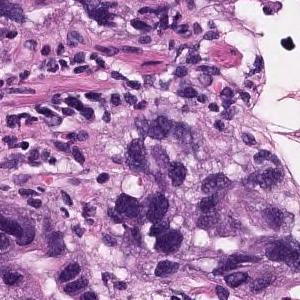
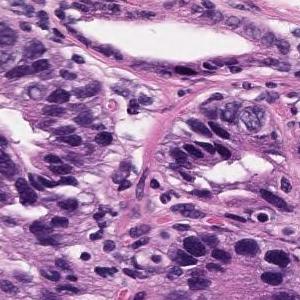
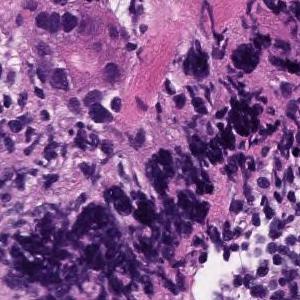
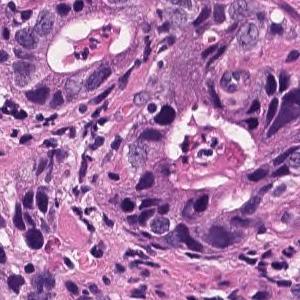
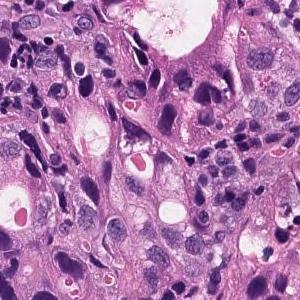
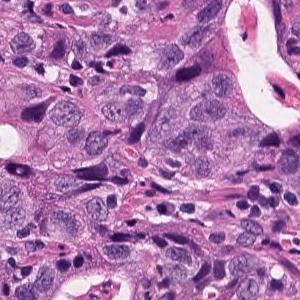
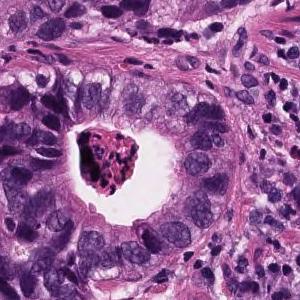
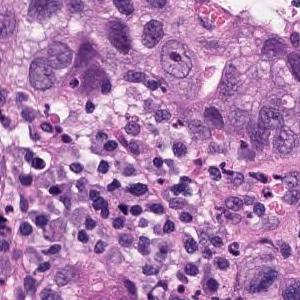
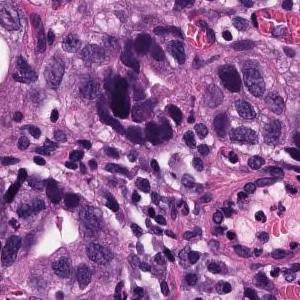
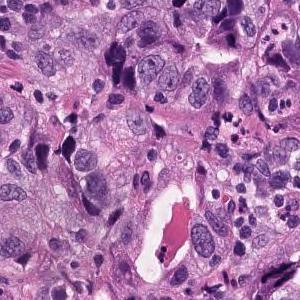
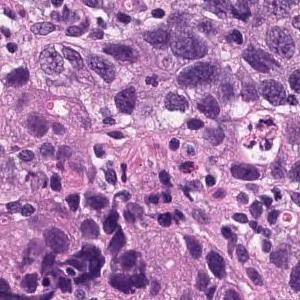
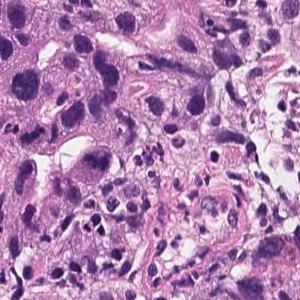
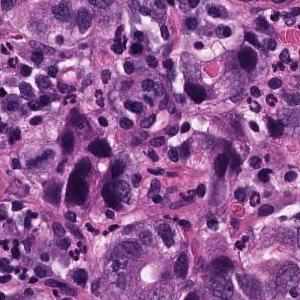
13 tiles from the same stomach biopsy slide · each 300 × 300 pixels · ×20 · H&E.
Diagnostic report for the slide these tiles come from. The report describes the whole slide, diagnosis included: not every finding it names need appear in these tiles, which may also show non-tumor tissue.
In the superficial epithelium, tumor tissue that invades by forming medium-sized to small, irregular ducts is observed. Moderately differentiated adenocarcinoma.
Histological subtype: Moderately differentiated tubular adenocarcinoma.
